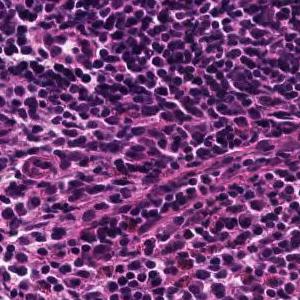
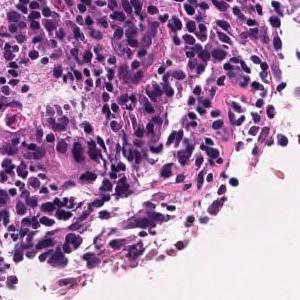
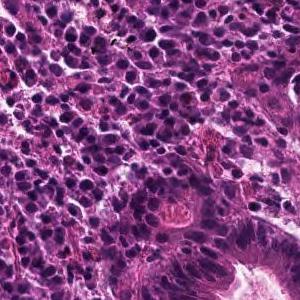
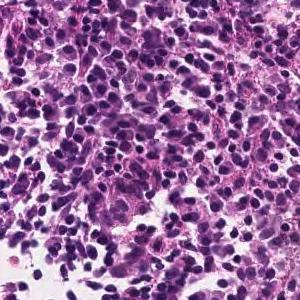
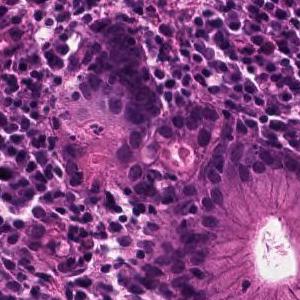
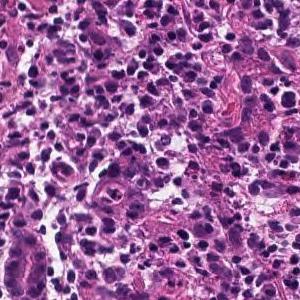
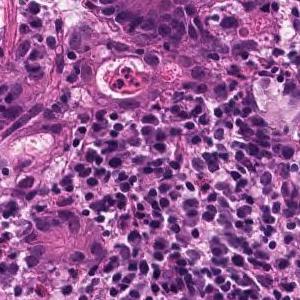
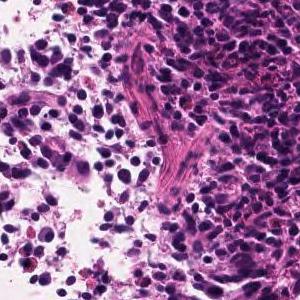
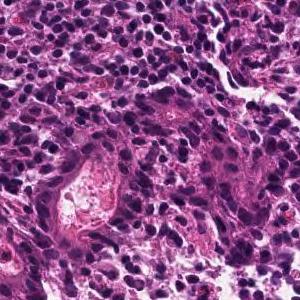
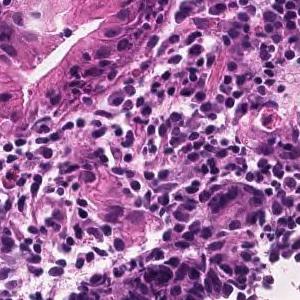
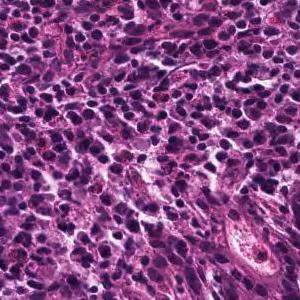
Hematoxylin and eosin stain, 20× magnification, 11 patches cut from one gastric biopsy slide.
Report on the slide these tiles come from. The findings and the diagnosis refer to the entire slide; these tiles show only part of it, possibly with non-tumor tissue, and may not show every feature named.
Tumor tissue consisting of medium-sized, cord-like or irregular glandular infiltration is observed in the superficial epithelium. Poorly differentiated adenocarcinoma, non-solid type or moderately differentiated tubular adenocarcinoma
Labeled in the dataset as poorly differentiated adenocarcinoma, non-solid type.
The non-solid type named here is a Japanese Classification of Gastric Carcinoma category.
